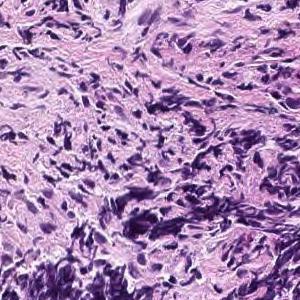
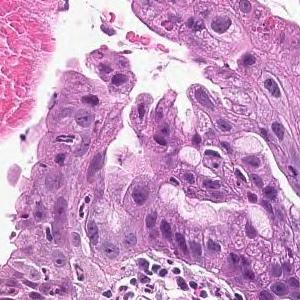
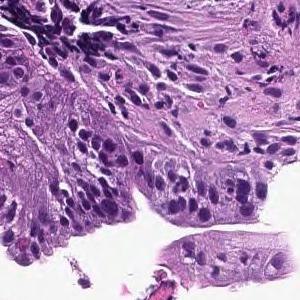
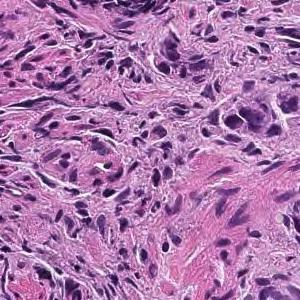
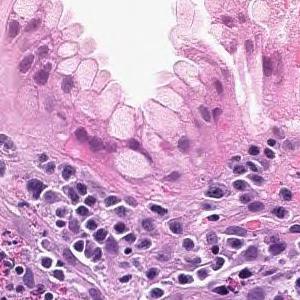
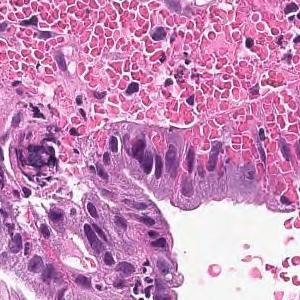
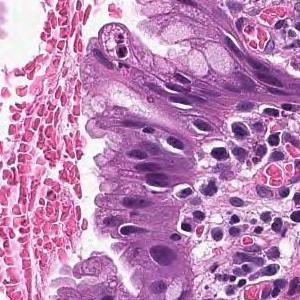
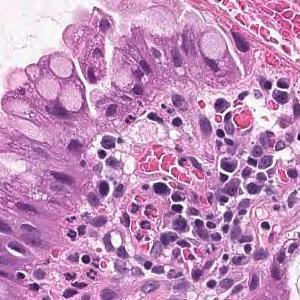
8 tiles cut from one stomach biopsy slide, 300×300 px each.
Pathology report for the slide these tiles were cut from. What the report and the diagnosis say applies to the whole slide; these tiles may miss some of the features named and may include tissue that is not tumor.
In the superficial epithelium, tumor tissue that invades by forming medium-sized to small, irregular ducts is observed. moderately differentiated tubular adenocarcinoma.
